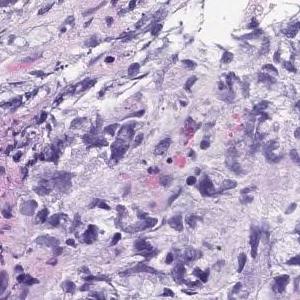
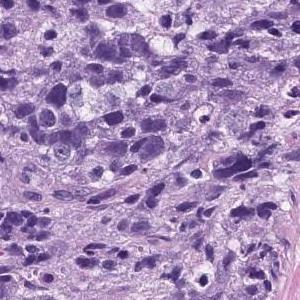
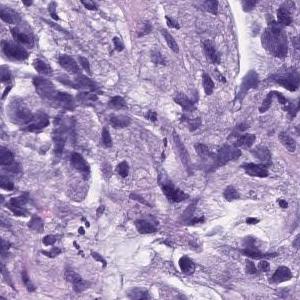
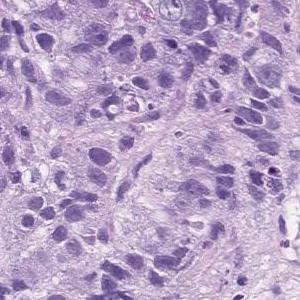
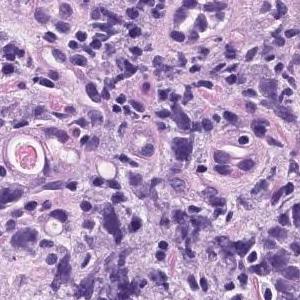
5 patches cut from one gastric biopsy slide · each 300 × 300 pixels · scanned at ×20 · H&E.
Pathology report for the slide these tiles were cut from. The report and the diagnosis describe the slide as a whole, so these tiles may not show every feature named and may include non-tumor tissue.
Atypical l cells with atypical nuclei forming solid vesicles or small irregular atypical ducts that proliferate in a complex manner. poorly differentiated adenocarcinoma, solid type, moderately differentiated tubular adenocarcinoma
The solid type named here is a Japanese Classification of Gastric Carcinoma category; WHO 2019 calls it tubular adenocarcinoma, poorly differentiated.
